20× magnification · H&E · 5 image tiles from a single gastric biopsy slide · 300 × 300 pixels each.
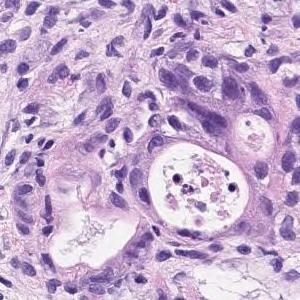
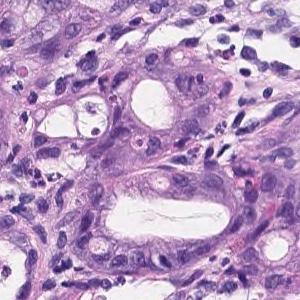
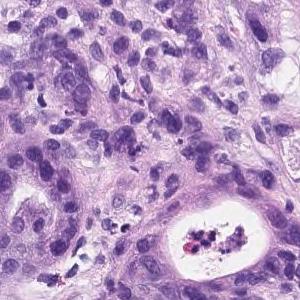
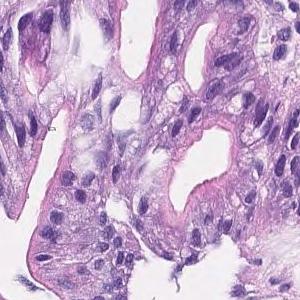
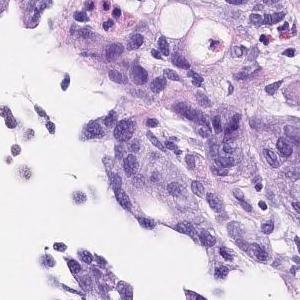
Pathology report for the slide these tiles were cut from. The report and the diagnosis describe the slide as a whole, so these tiles may not show every feature named and may include non-tumor tissue.
Irregularly fused atypical ducts proliferating while replacing existing ducts was observed. moderately differentiated tubular adenocarcinoma
